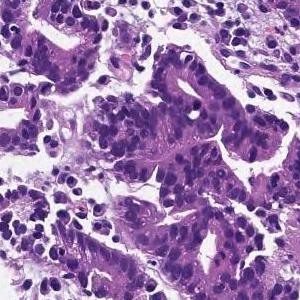
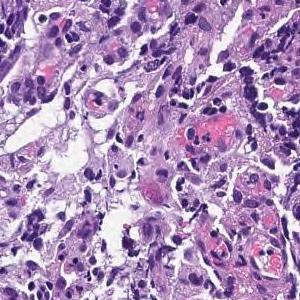
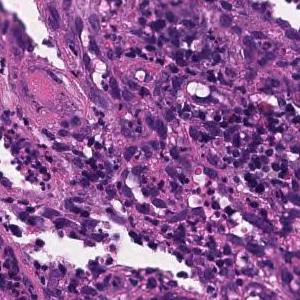
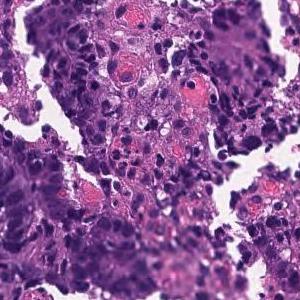
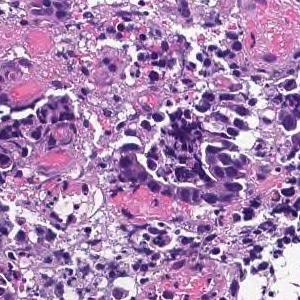
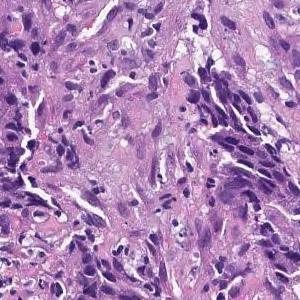
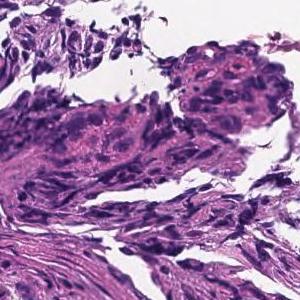
7 tiles cut from one stomach biopsy slide · each 300 × 300 pixels · H&E.
Report on the slide these tiles come from. The report and the diagnosis describe the slide as a whole, so these tiles may not show every feature named and may include non-tumor tissue.
On the superficial epithelium, tumor tissue consisting of large irregular glandular ducts partially fused and infiltrated is observed. Well to moderately differentiated tubular adenocarcinoma (well differentiated tubular adenocarcinoma, moderately differentiated tubular adenocarcinoma)
Histological subtype: Well to moderately differentiated tubular adenocarcinoma.
